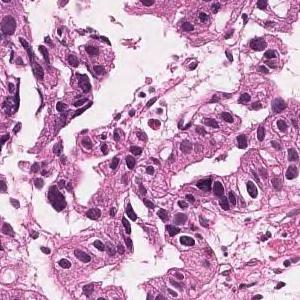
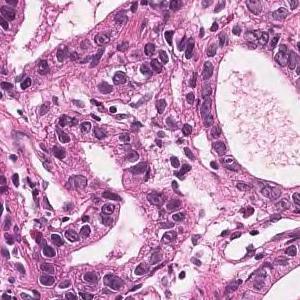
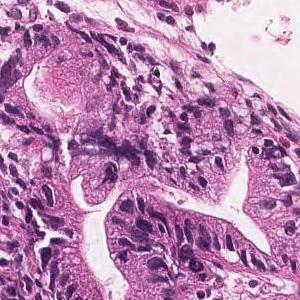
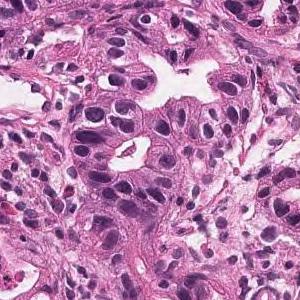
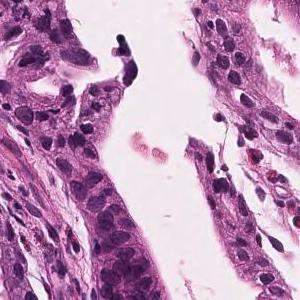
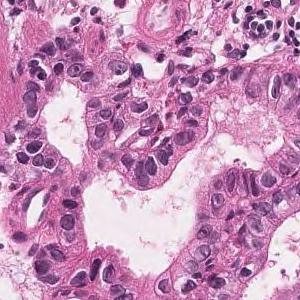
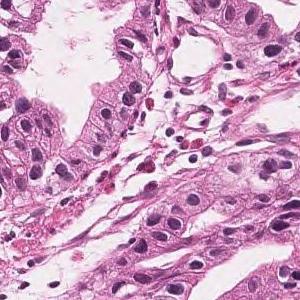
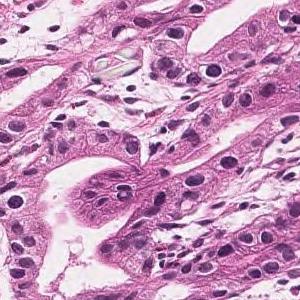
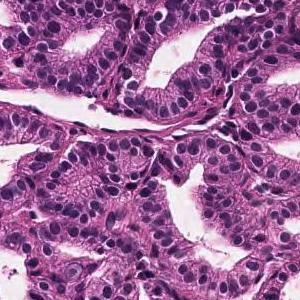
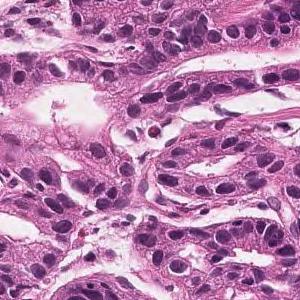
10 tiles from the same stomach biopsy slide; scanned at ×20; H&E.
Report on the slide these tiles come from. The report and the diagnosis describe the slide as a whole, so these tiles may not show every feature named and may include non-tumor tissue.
Tumor tissue consisting of medium-sized and irregular ducts is observed infiltrating in the superficial epithelium. Tumor cells are highly columnar, with nuclei aligned basolaterally and polarized. Well differentiated tubular adenocarcinoma.
